11 tiles from the same stomach biopsy slide; ×20; H&E.
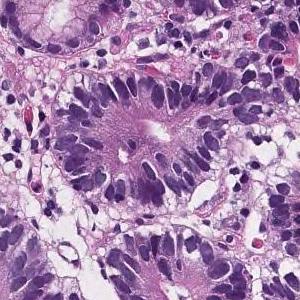
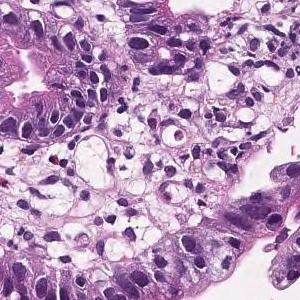
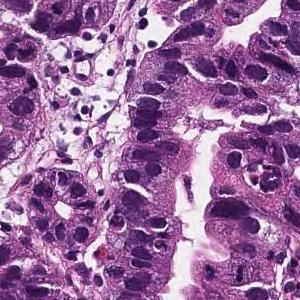
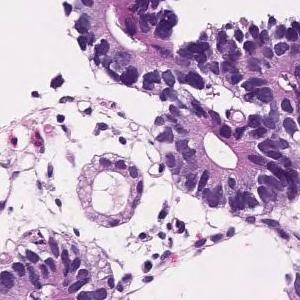
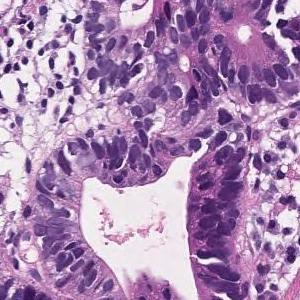
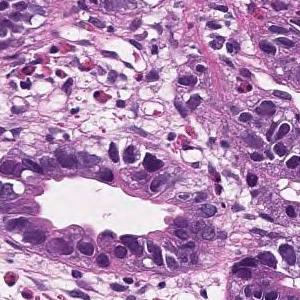
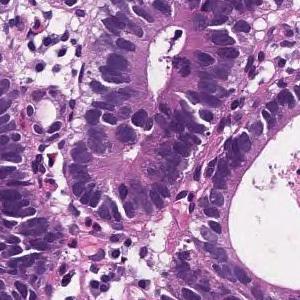
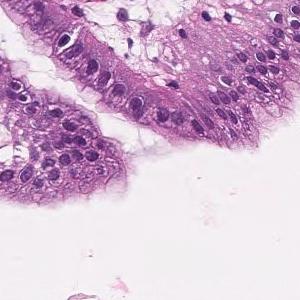
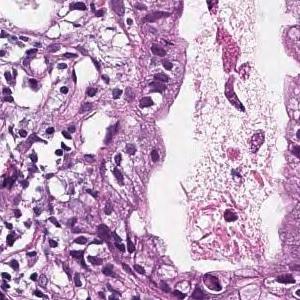
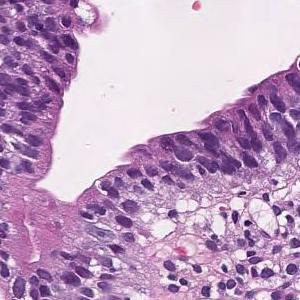
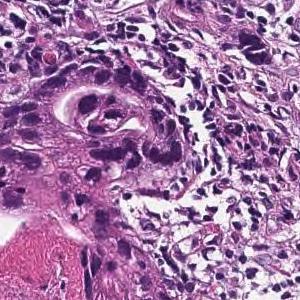
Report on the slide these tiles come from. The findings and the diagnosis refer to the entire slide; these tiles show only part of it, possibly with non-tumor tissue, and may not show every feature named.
On the superficial epithelium, tumor tissue consisting of large, irregular glandular ducts partially fused and infiltrated is observed. Well to moderately differentiated tubular adenocarcinoma (well differentiated tubular adenocarcinoma, moderately differentiated tubular adenocarcinoma)
Classified as well to moderately differentiated tubular adenocarcinoma.
